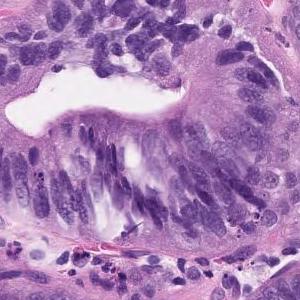
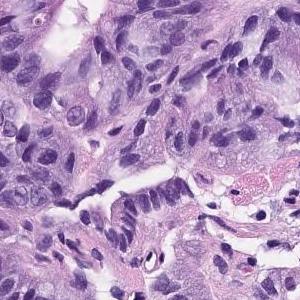
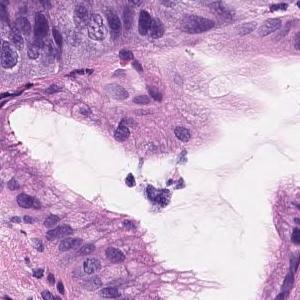
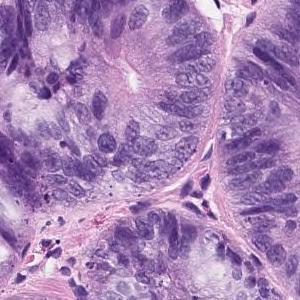
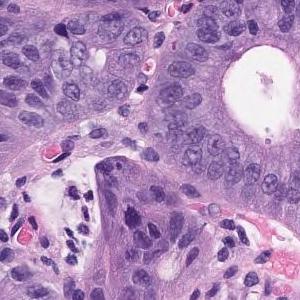
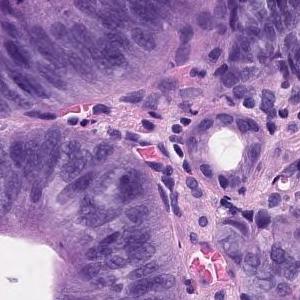
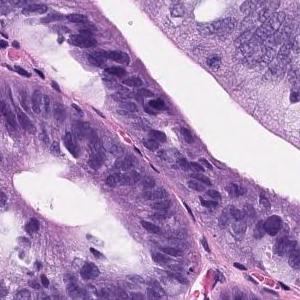
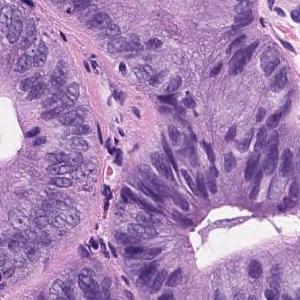
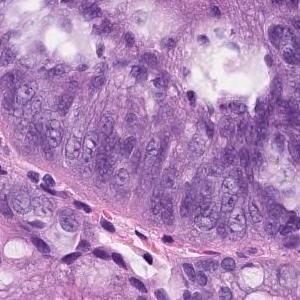
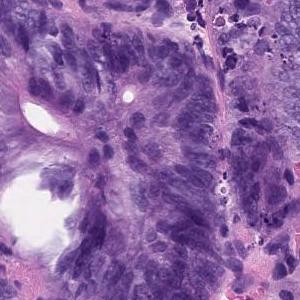
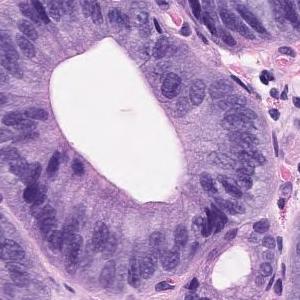
Scanned at ×20; H&E stain; 11 image tiles from a single gastric biopsy slide; each 300 × 300 pixels.
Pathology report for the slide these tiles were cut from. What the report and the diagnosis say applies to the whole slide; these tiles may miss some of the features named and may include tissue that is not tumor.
On the superficial epithelium, tumor tissue consisting of images of atypical ducts of different sizes partially fused and densely proliferating is observed. Well differentiated tubular adenocarcinoma
